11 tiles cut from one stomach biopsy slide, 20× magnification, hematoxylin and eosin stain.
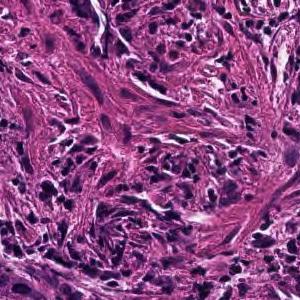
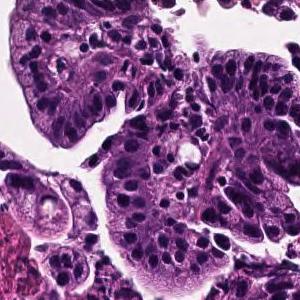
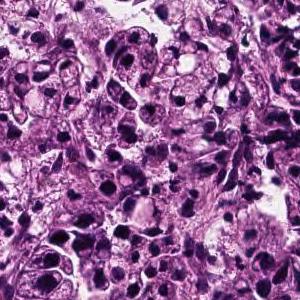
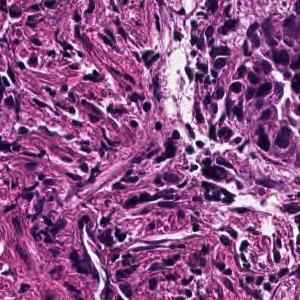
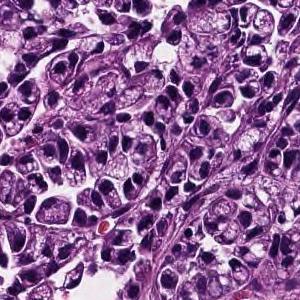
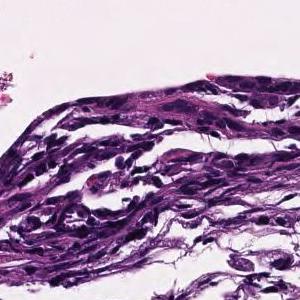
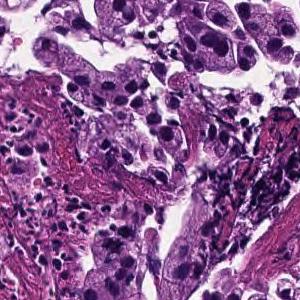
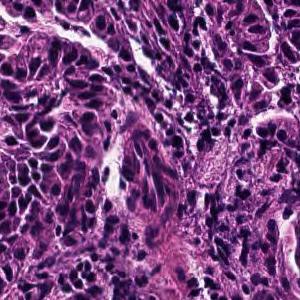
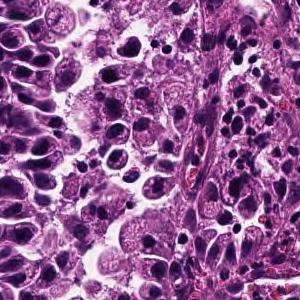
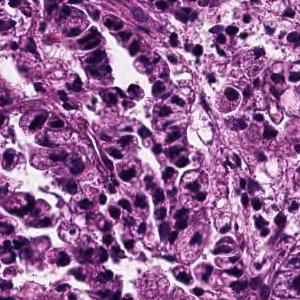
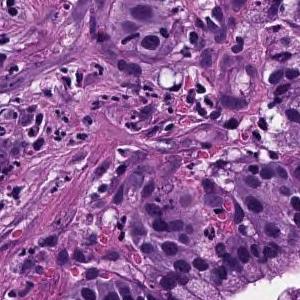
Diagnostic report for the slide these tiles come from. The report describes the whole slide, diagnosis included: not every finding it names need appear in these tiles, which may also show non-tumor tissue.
Tumor cells are large, highly columnar, large club-shaped nuclei, and are associated with chromatin aggregation. Papillary adenocarcinoma.
